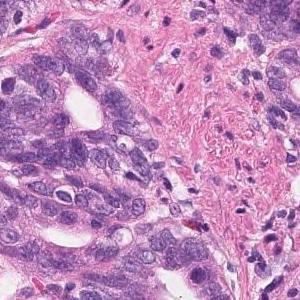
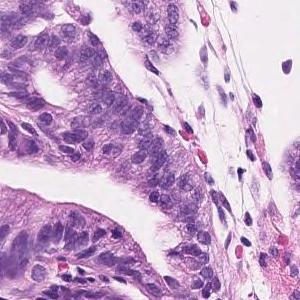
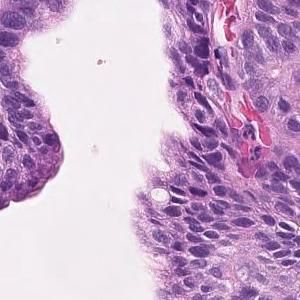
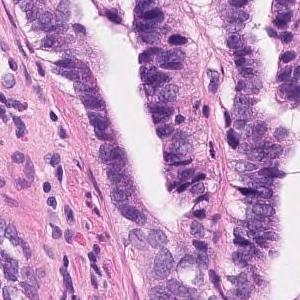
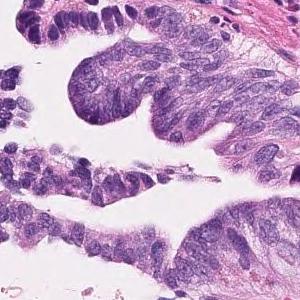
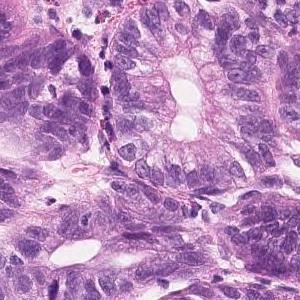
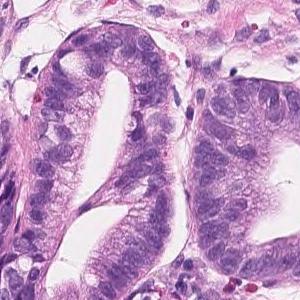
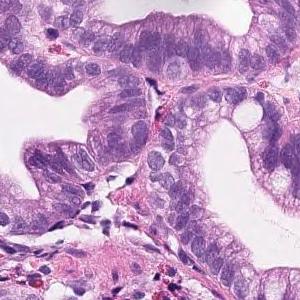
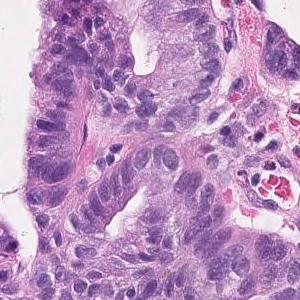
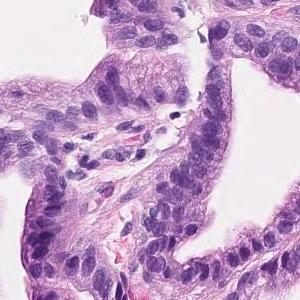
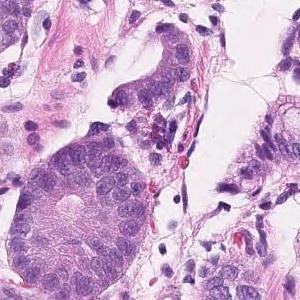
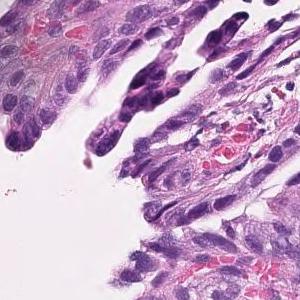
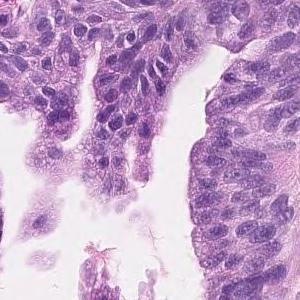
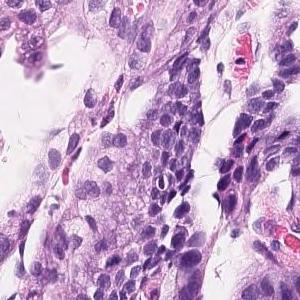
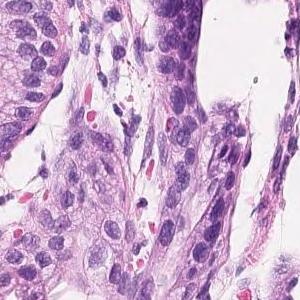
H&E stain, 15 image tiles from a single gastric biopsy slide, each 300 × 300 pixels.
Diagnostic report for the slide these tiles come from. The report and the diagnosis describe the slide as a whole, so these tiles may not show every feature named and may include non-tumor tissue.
Tumor cells are large, highly columnar, large club-shaped nuclei, and are associated with chromatin aggregation. Papillary adenocarcinoma.
